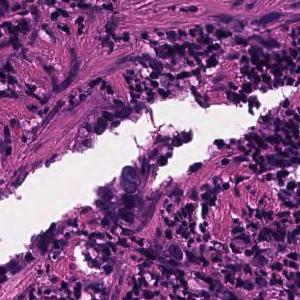
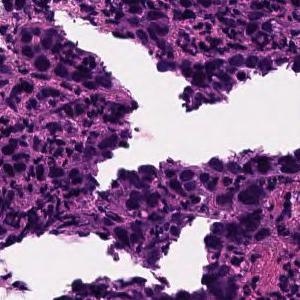
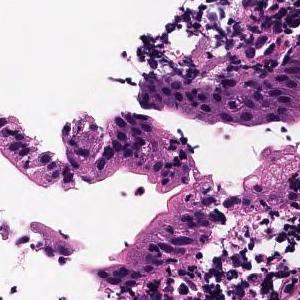
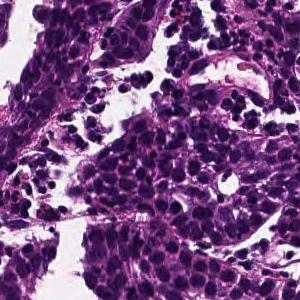
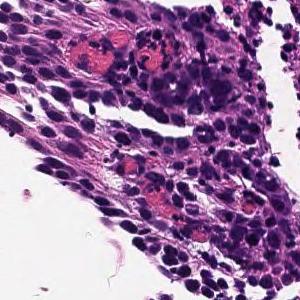
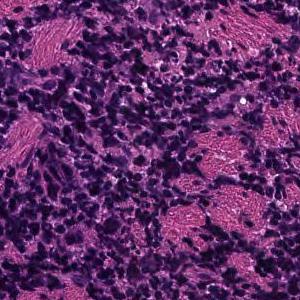
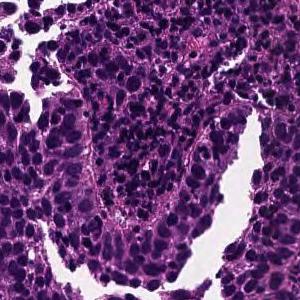
7 patches cut from one gastric biopsy slide, each 300 × 300 pixels, ×20, H&E.
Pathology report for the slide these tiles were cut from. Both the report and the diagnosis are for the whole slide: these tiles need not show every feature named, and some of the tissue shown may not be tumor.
Tumor tissue consisting of cord-like or small, irregular glandular ducts fused and infiltrated is observed in the superficial epithelium. Poorly differentiated adenocarcinoma, non-solid type
The non-solid type named here is a Japanese Classification of Gastric Carcinoma category.
